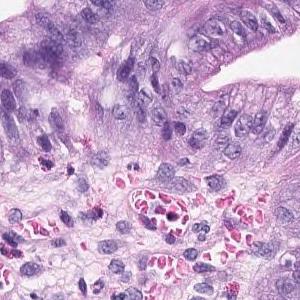
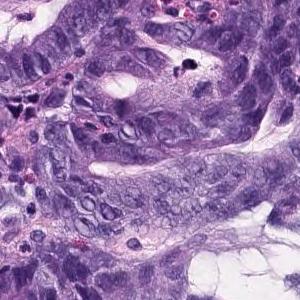
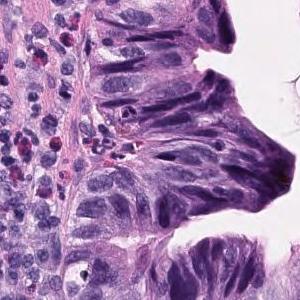
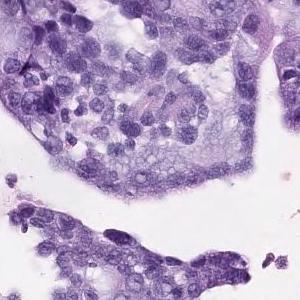
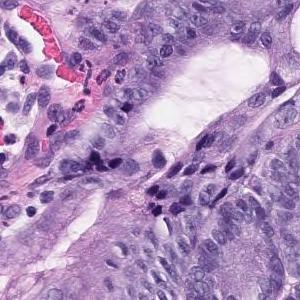
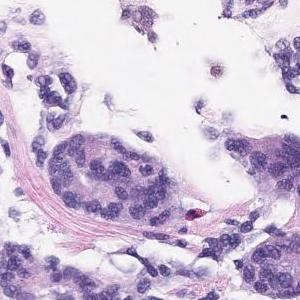
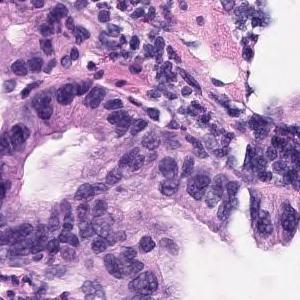
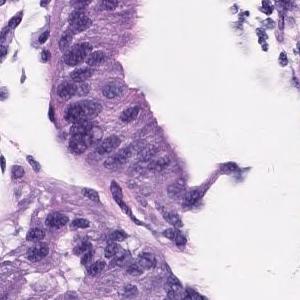
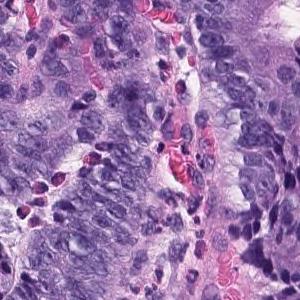
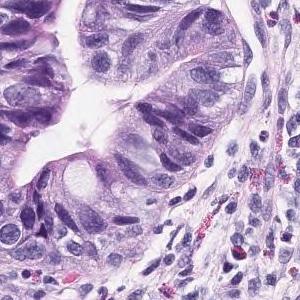
10 tiles from the same stomach biopsy slide; H&E.
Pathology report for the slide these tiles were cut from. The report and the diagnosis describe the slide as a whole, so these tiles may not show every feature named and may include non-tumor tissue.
In the superficial epithelium, tumor tissue that invades by forming medium-sized to small, irregular ducts is observed. Well to moderately differentiated tubular adenocarcinoma.
